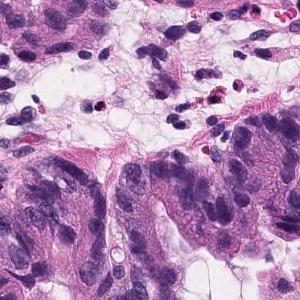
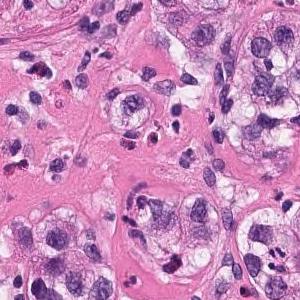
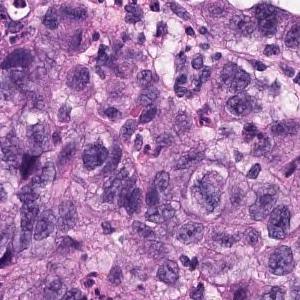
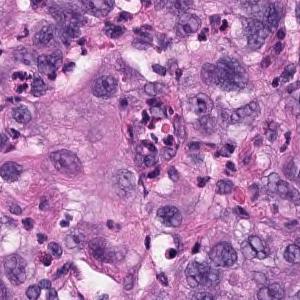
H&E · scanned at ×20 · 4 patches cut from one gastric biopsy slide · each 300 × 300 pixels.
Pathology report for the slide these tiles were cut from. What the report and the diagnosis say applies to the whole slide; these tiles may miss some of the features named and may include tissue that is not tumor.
Atypical l cells with atypical nuclei forming diffuse or small irregular atypical ducts and growing. Moderately to poorly differentiated adenocarcinoma (poorly differentiated adenocarcinoma, solid type, moderately differentiated tubular adenocarcinoma)
Subtype: Moderately to poorly differentiated adenocarcinoma.
"Solid type" is a category of the Japanese Classification of Gastric Carcinoma; in the WHO 2019 classification it is tubular adenocarcinoma, poorly differentiated.
